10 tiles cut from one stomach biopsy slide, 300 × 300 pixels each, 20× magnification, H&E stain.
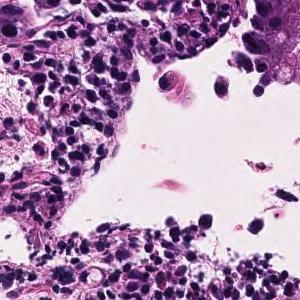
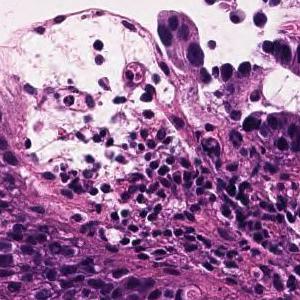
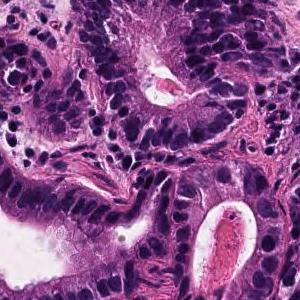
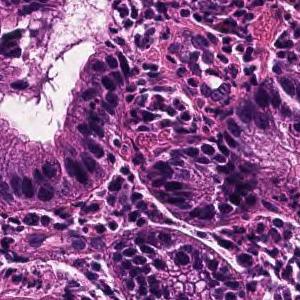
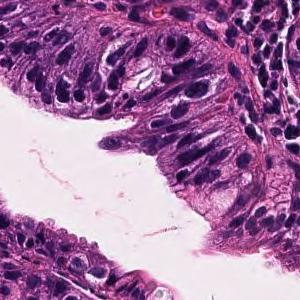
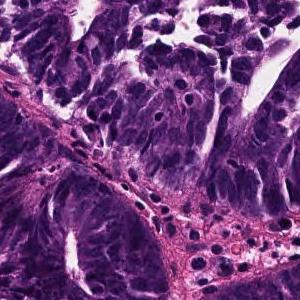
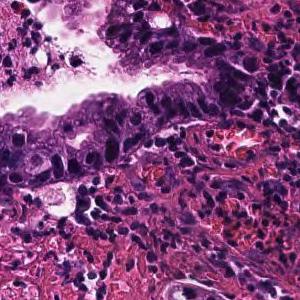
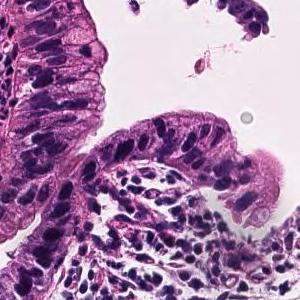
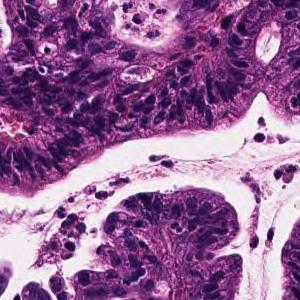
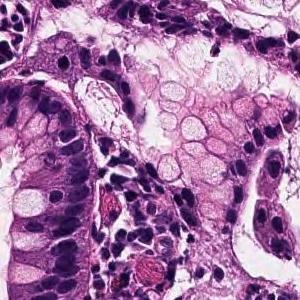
Report on the slide these tiles come from. The findings and the diagnosis refer to the entire slide; these tiles show only part of it, possibly with non-tumor tissue, and may not show every feature named.
Tumor cells are large, highly columnar, large club-shaped nuclei, and are associated with chromatin aggregation. Papillary adenocarcinoma.
